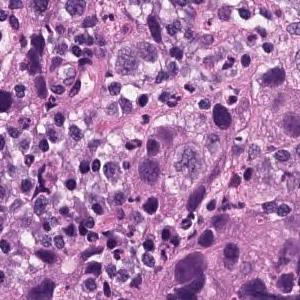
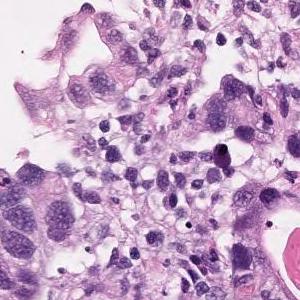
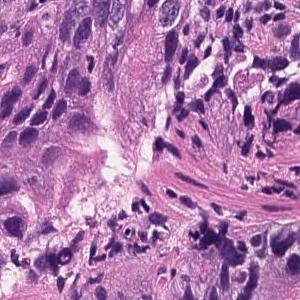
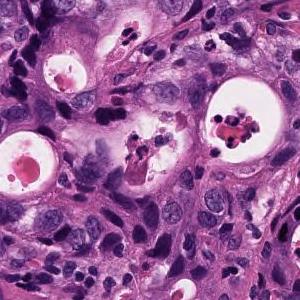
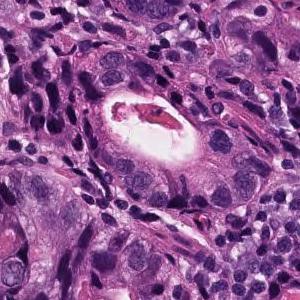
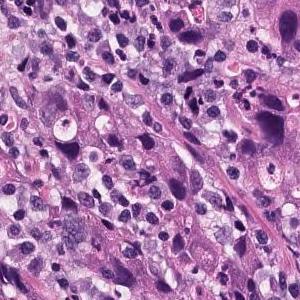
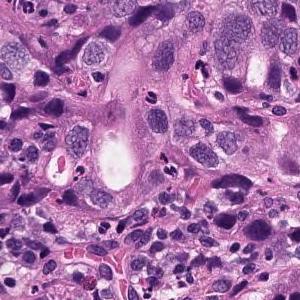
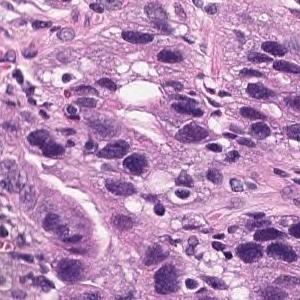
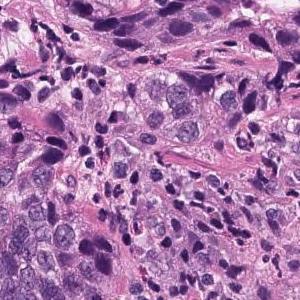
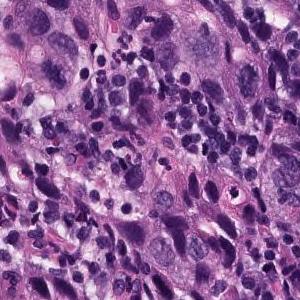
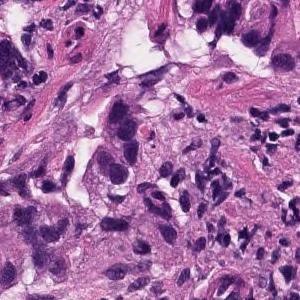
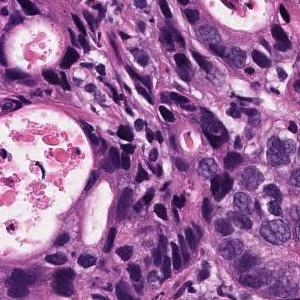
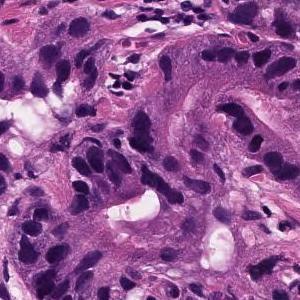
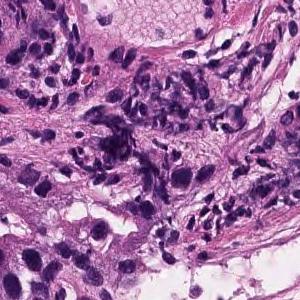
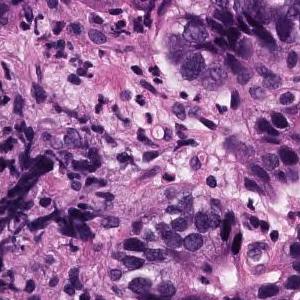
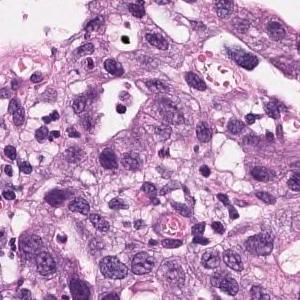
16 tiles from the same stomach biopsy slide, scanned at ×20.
Report on the slide these tiles come from. The report describes the whole slide, diagnosis included: not every finding it names need appear in these tiles, which may also show non-tumor tissue.
In the superficial epithelium, tumor tissue that invades by forming medium-sized to small, irregular ducts is observed. Moderately differentiated adenocarcinoma.
Classified as moderately differentiated tubular adenocarcinoma.
